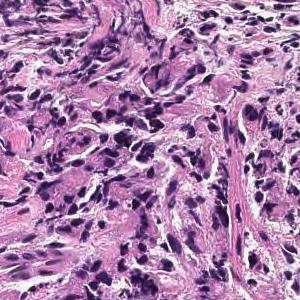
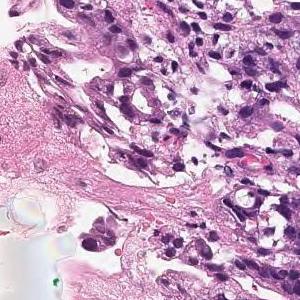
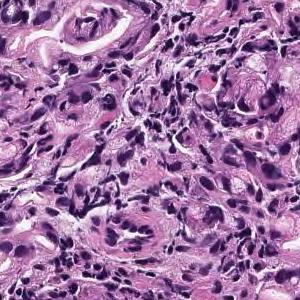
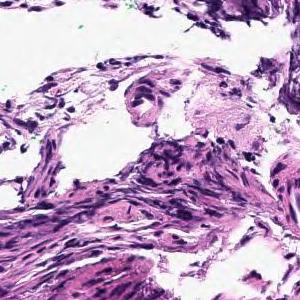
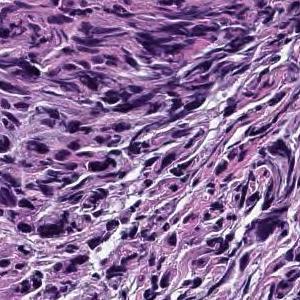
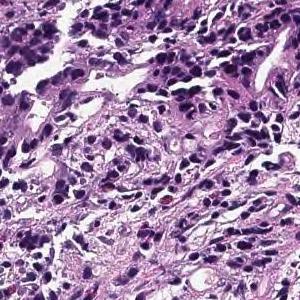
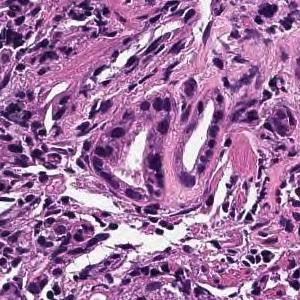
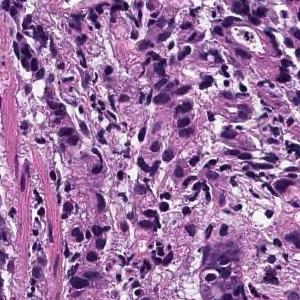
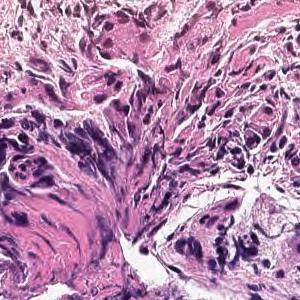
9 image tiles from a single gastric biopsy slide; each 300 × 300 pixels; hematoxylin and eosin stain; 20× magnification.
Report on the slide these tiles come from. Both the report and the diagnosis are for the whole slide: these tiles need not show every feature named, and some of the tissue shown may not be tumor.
Tumor tissue consisting of cord-like or small, irregular glandular ducts fused and infiltrated is observed in the superficial epithelium. Poorly differentiated adenocarcinoma, non-solid type
The non-solid type named here is a Japanese Classification of Gastric Carcinoma category.
